5 tiles from the same stomach biopsy slide.
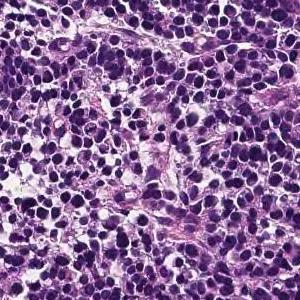
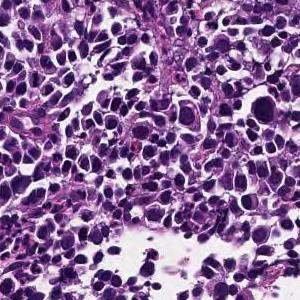
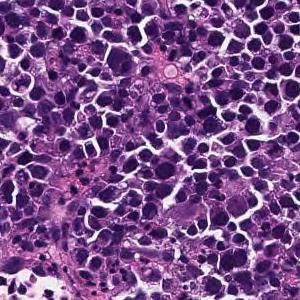
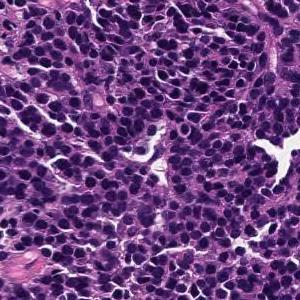
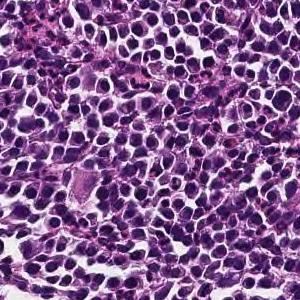
The pathologist's report on the biopsy slide these tiles were taken from. Both the report and the diagnosis are for the whole slide: these tiles need not show every feature named, and some of the tissue shown may not be tumor.
Large sheet-like or diffusely infiltrating tumor tissue is found in the superficial epithelium. Poorly differentiated adenocarcinoma, solid-type
Histologic type: Poorly differentiated adenocarcinoma, solid type. This name comes from the Japanese Classification of Gastric Carcinoma; the WHO 2019 classification calls it tubular adenocarcinoma, poorly differentiated.
